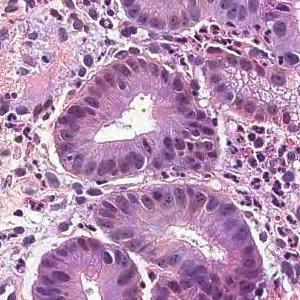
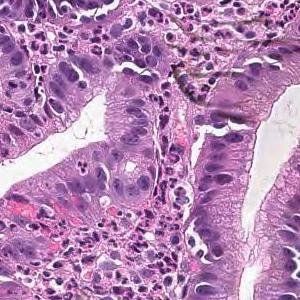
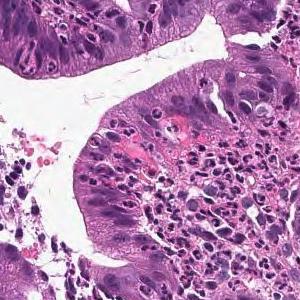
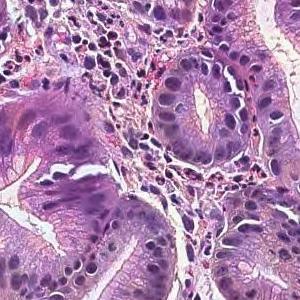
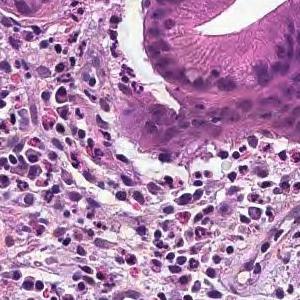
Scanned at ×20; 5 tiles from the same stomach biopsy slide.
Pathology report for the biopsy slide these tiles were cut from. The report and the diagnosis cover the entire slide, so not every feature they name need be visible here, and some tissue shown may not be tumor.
On the superficial epithelium, tumor tissue that infiltrates by forming medium-sized papillary or small irregular ducts is observed. Papillary adenocarcinoma
